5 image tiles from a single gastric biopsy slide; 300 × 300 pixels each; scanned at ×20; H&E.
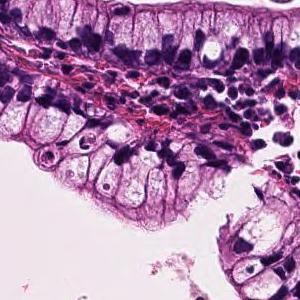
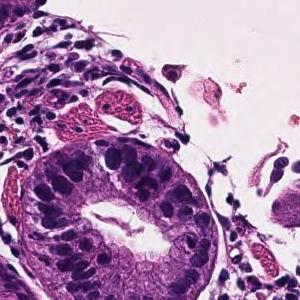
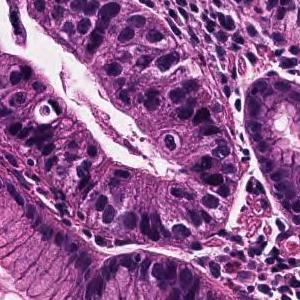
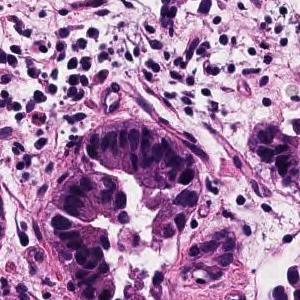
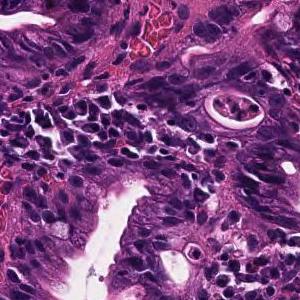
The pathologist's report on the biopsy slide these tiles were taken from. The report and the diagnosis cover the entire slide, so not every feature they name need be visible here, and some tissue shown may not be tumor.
Tumor cells are large, highly columnar, large club-shaped nuclei, and are associated with chromatin aggregation. Papillary adenocarcinoma.
